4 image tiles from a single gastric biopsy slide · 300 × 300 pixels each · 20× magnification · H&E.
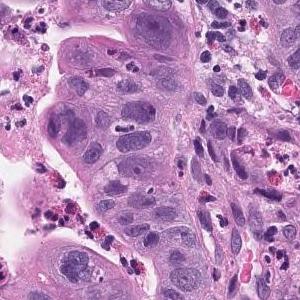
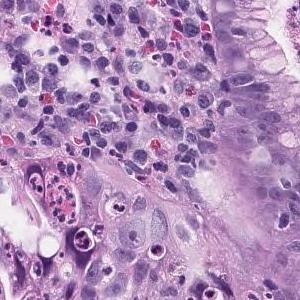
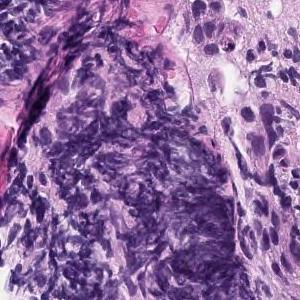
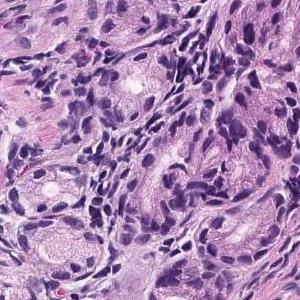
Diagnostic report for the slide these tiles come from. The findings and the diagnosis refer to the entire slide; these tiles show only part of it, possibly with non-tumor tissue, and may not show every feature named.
Atypical epithelium replaces superficial epithelium or localized ducts, or grows while forming irregular ducts. Well differentiated tubular adenocarcinoma
